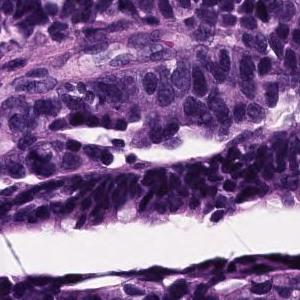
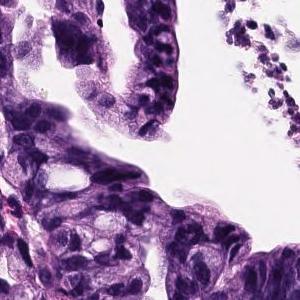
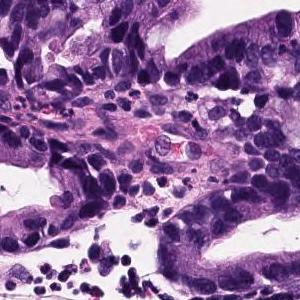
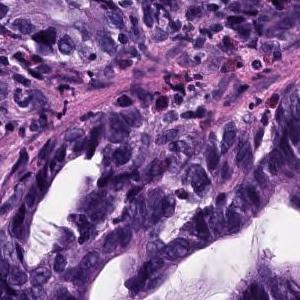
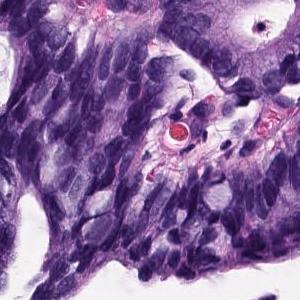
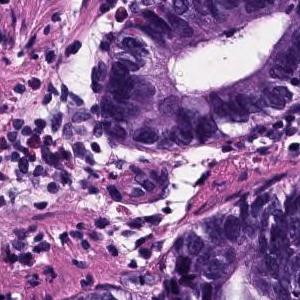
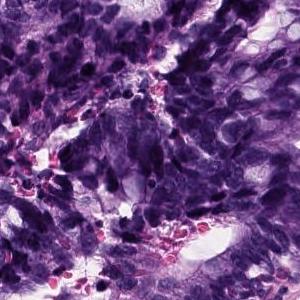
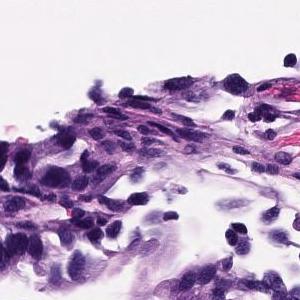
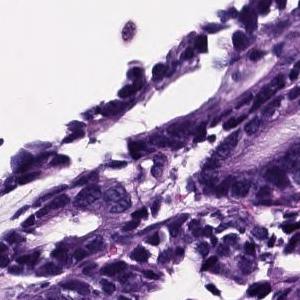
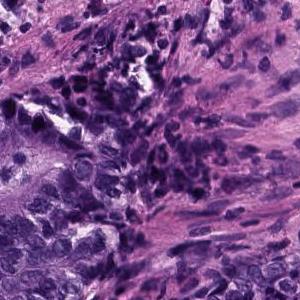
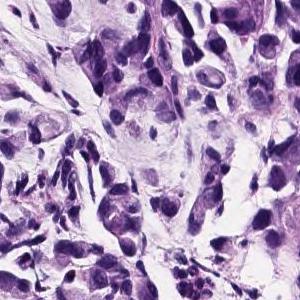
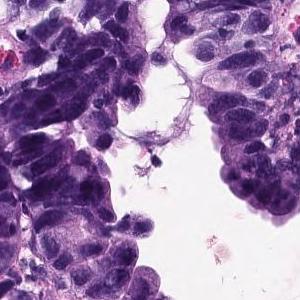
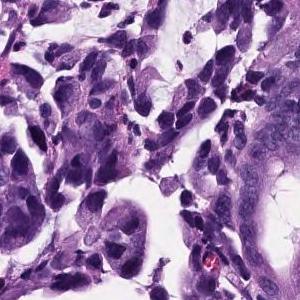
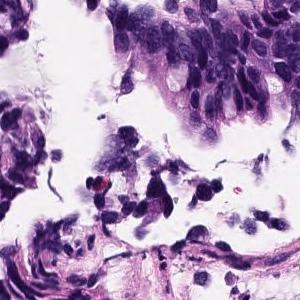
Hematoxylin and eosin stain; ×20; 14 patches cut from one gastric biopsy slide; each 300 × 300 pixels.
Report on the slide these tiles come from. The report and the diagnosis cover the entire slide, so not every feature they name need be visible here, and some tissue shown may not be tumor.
Atypical epithelium proliferating showing villus construction and irregular gland duct construction is observed. Moderately differentiated tubular adenocarcinoma.
